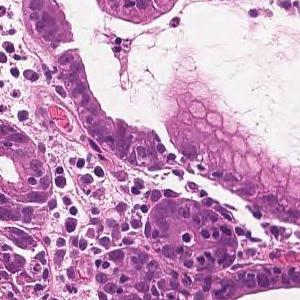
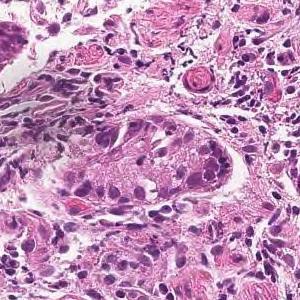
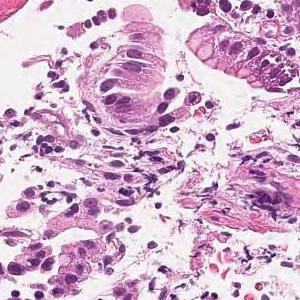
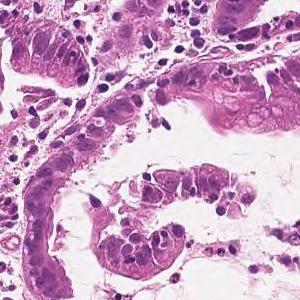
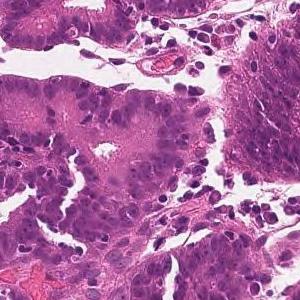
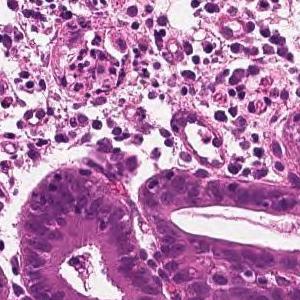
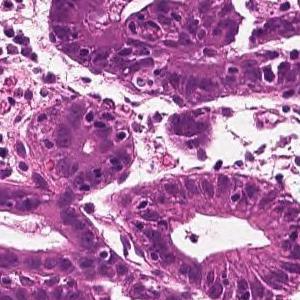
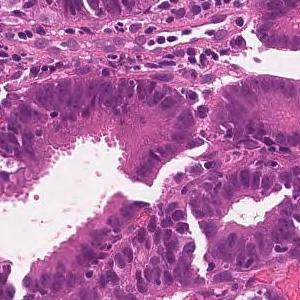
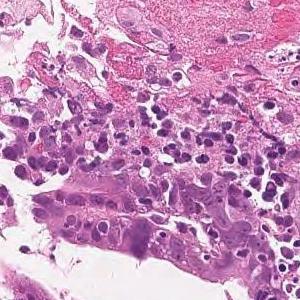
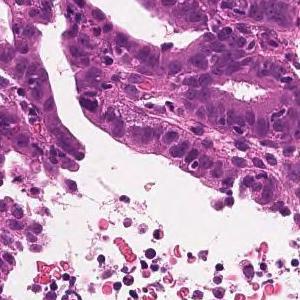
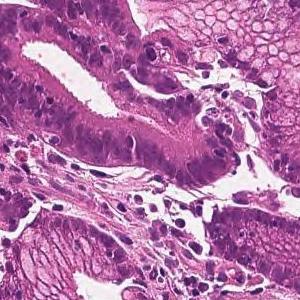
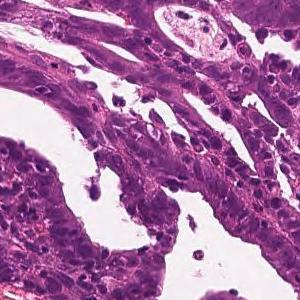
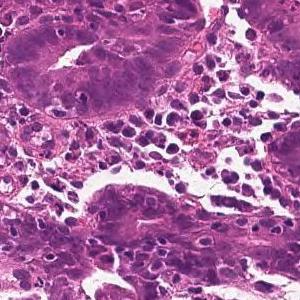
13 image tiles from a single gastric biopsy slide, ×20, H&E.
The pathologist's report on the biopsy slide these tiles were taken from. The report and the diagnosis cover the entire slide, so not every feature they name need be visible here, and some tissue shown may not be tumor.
On the superficial epithelium, tumor tissue is found in which medium-sized irregular gland ducts fuse with each other and infiltrate. moderately differentiated tubular adenocarcinoma
